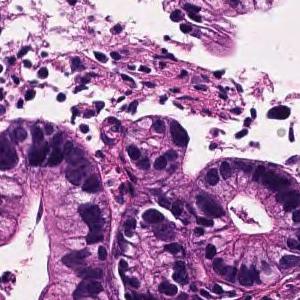
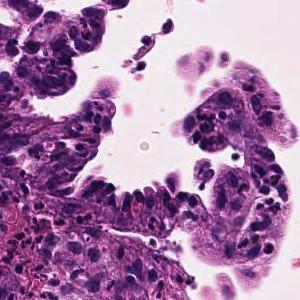
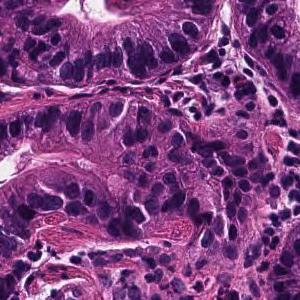
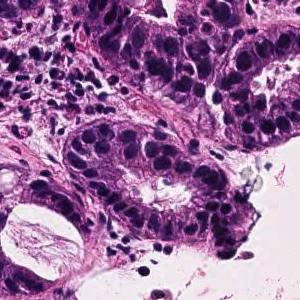
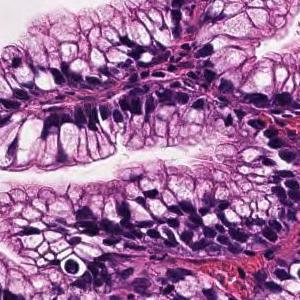
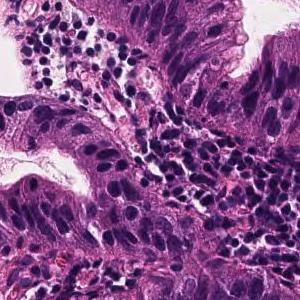
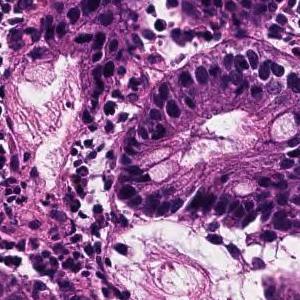
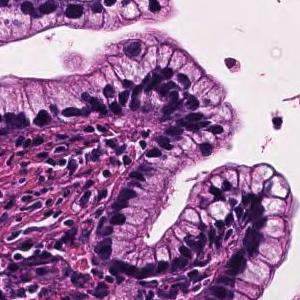
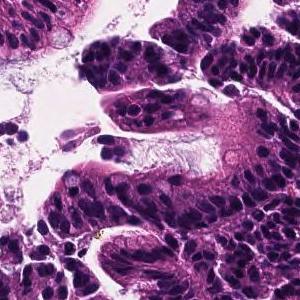
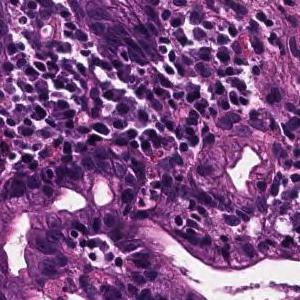
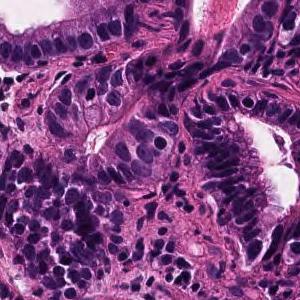
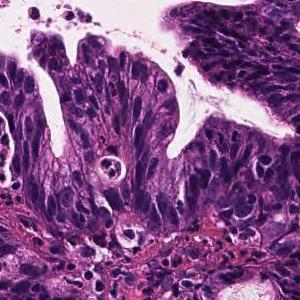
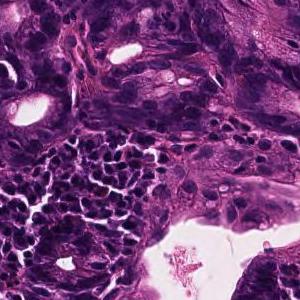
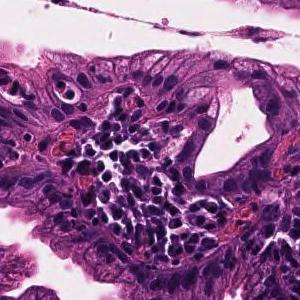
14 patches cut from one gastric biopsy slide; each 300 × 300 pixels; hematoxylin and eosin stain; 20× magnification.
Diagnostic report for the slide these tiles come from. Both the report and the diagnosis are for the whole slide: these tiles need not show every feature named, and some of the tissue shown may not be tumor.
Tumor cells are large, highly columnar, large club-shaped nuclei, and are associated with chromatin aggregation. Papillary adenocarcinoma.
